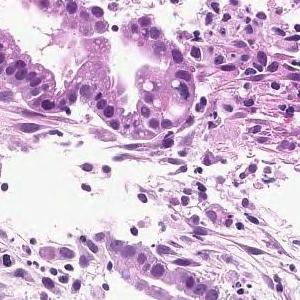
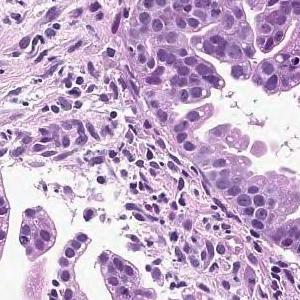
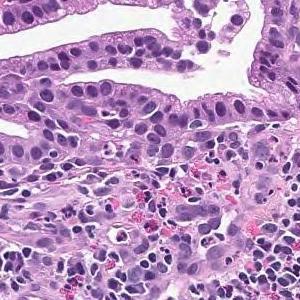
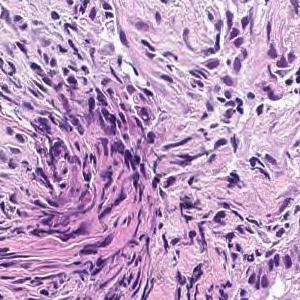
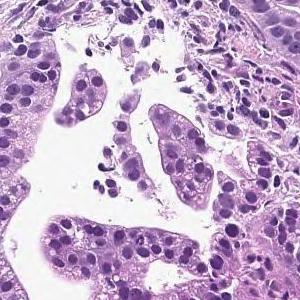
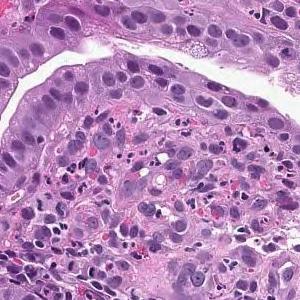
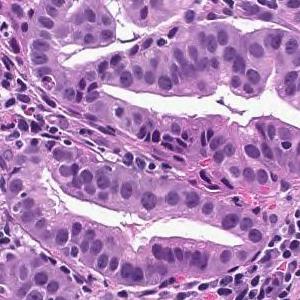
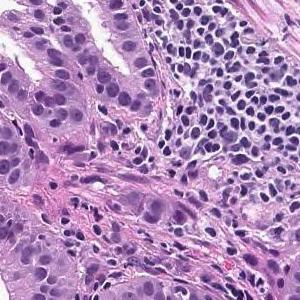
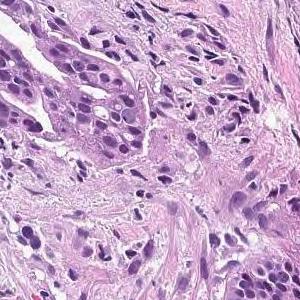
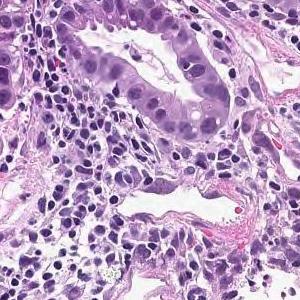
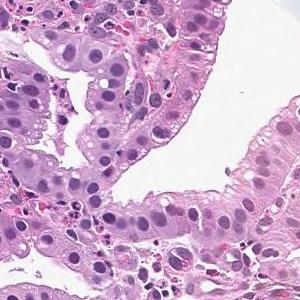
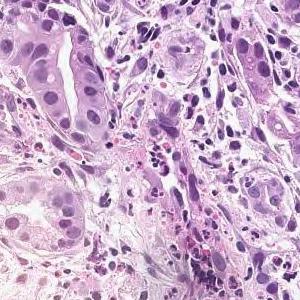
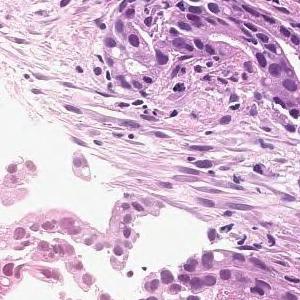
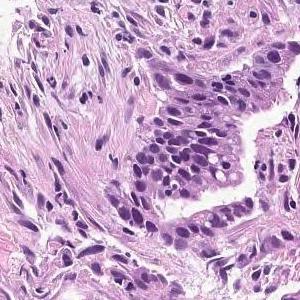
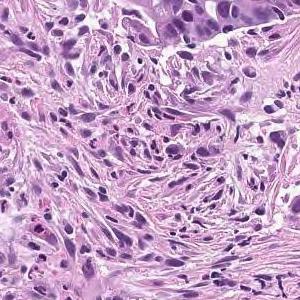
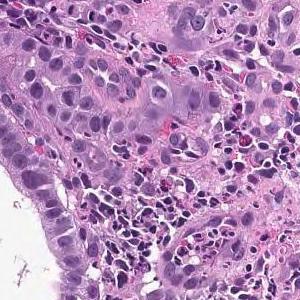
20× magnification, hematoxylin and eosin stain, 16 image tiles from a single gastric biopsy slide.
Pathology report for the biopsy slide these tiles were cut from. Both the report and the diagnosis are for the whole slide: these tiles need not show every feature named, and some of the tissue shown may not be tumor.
On the superficial epithelium, tumor tissue that infiltrates by forming medium-sized papillary or small irregular ducts is observed. Papillary adenocarcinoma
